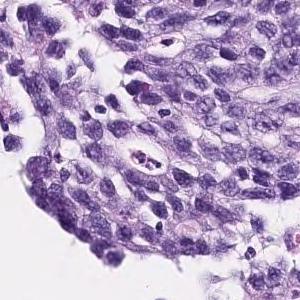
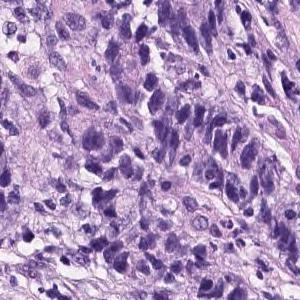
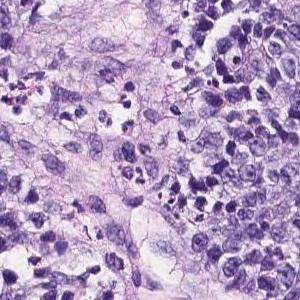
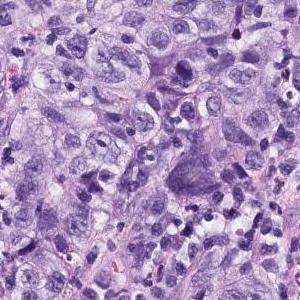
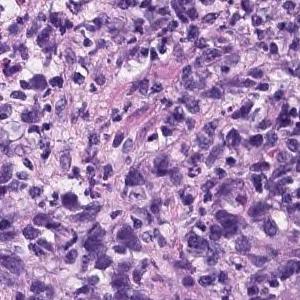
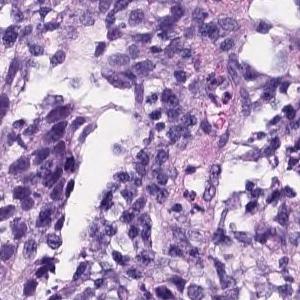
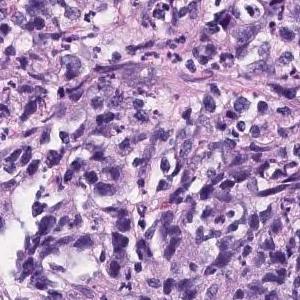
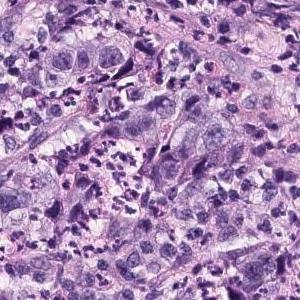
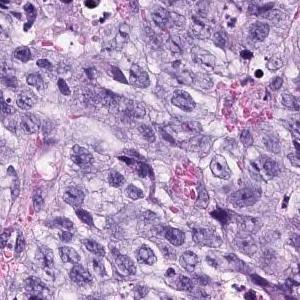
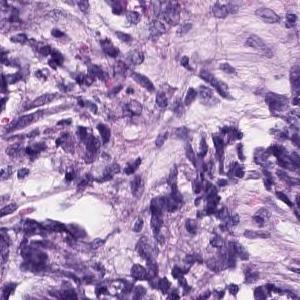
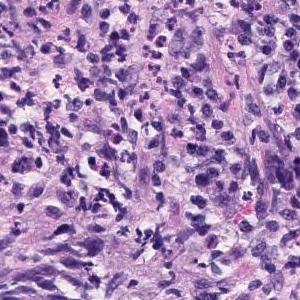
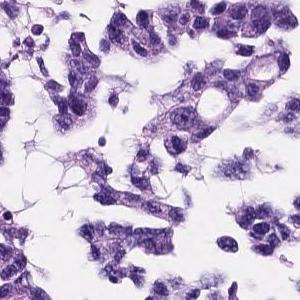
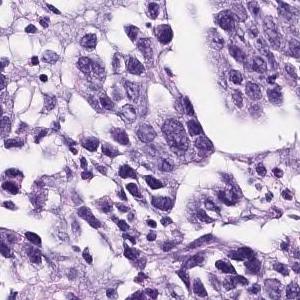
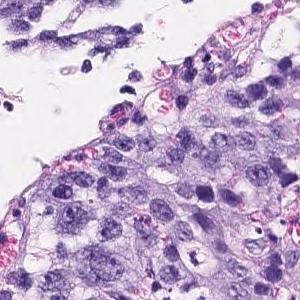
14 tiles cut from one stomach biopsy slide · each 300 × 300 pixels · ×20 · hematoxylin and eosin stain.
The pathologist's report on the biopsy slide these tiles were taken from. The findings and the diagnosis refer to the entire slide; these tiles show only part of it, possibly with non-tumor tissue, and may not show every feature named.
The superficial epithelium shows a large sheet-like shape, and some tumor tissue infiltrates with small irregular ducts. Poorly differentiated adenocarcinoma, solid-type
Histologic type: Poorly differentiated adenocarcinoma, solid type. This name comes from the Japanese Classification of Gastric Carcinoma; the WHO 2019 classification calls it tubular adenocarcinoma, poorly differentiated.
